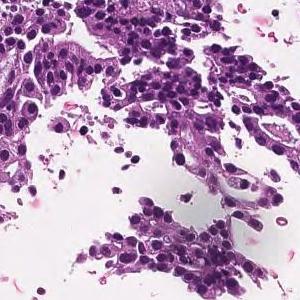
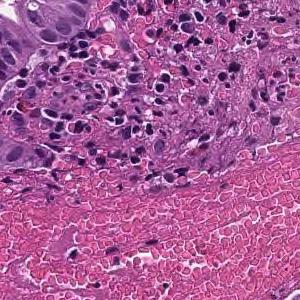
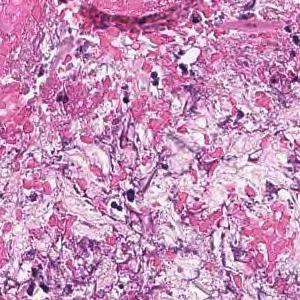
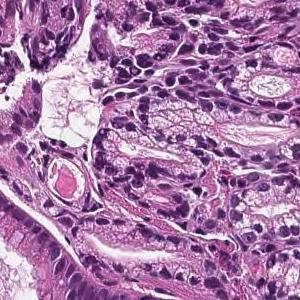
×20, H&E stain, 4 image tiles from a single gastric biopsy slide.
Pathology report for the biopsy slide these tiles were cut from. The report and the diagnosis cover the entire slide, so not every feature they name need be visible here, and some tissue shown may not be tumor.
On the superficial epithelium, tumor tissue that infiltrates by forming medium-sized papillary or small irregular ducts is observed. Papillary adenocarcinoma
